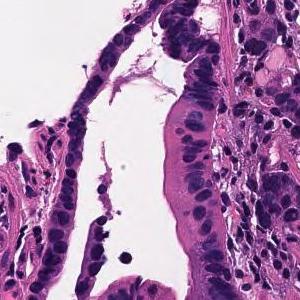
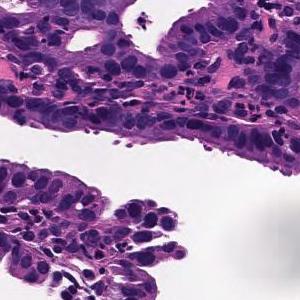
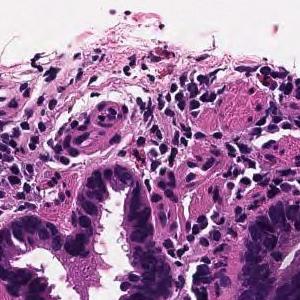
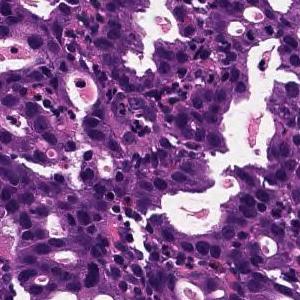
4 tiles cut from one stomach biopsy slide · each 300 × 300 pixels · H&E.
Diagnostic report for the slide these tiles come from. The findings and the diagnosis refer to the entire slide; these tiles show only part of it, possibly with non-tumor tissue, and may not show every feature named.
On the superficial epithelium, tumor tissue is found in which medium-sized irregular gland ducts fuse with each other and infiltrate. moderately differentiated tubular adenocarcinoma
